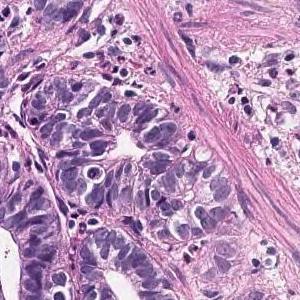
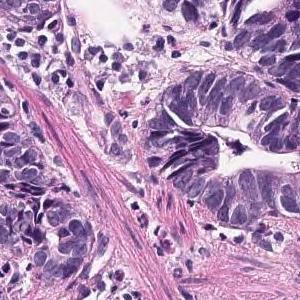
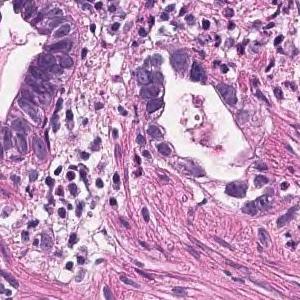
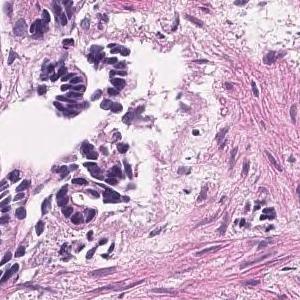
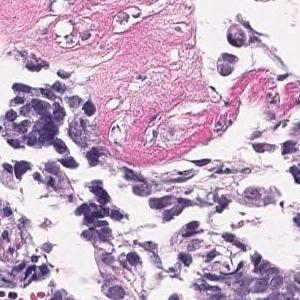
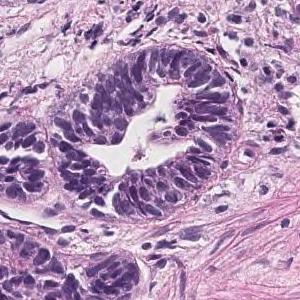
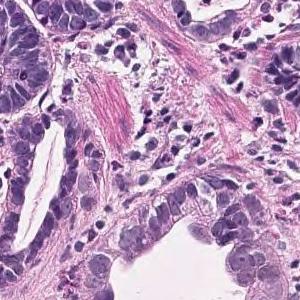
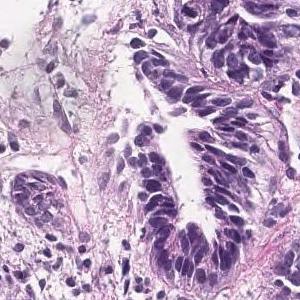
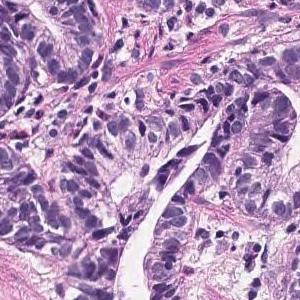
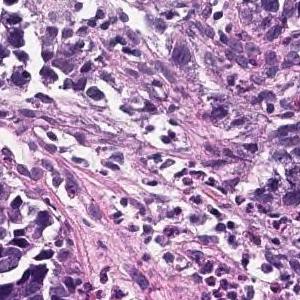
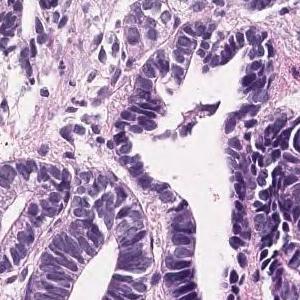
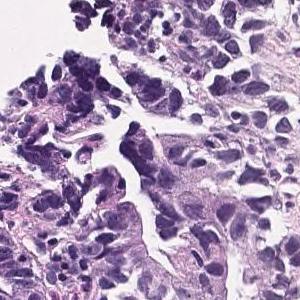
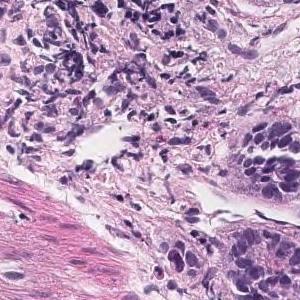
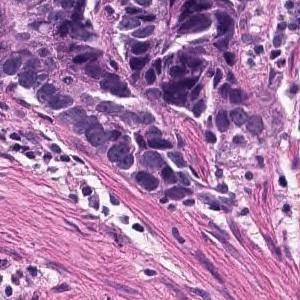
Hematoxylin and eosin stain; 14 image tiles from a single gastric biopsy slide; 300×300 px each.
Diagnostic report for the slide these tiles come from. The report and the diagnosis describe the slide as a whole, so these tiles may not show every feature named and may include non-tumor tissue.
In the superficial epithelium, tumor tissue that invades by forming medium-sized to small, irregular ducts is observed. Well differentiated tubular adenocarcinoma.
